Scanned at ×20 · hematoxylin and eosin stain · 7 tiles cut from one stomach biopsy slide · 300 × 300 pixels each.
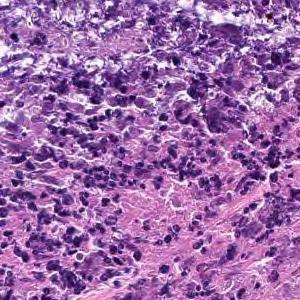
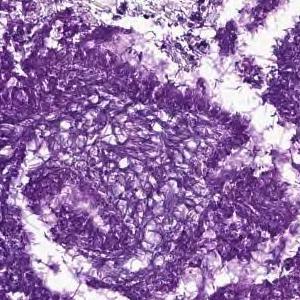
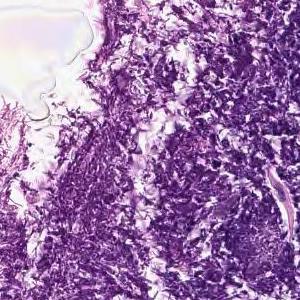
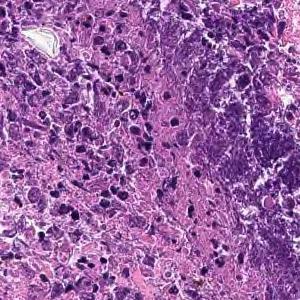
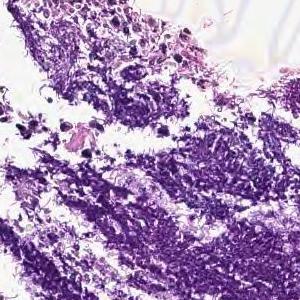
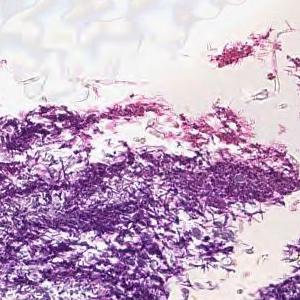
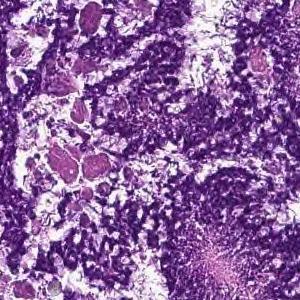
Pathology report for the slide these tiles were cut from. The report and the diagnosis describe the slide as a whole, so these tiles may not show every feature named and may include non-tumor tissue.
Cancers with polygonal nuclei do not show glandular formation and are densely, in part, cord-like and proliferate. Poorly differentiated adenocarcinoma
Histologic type: Poorly differentiated adenocarcinoma, non-solid type.
The non-solid type named here is a Japanese Classification of Gastric Carcinoma category.
